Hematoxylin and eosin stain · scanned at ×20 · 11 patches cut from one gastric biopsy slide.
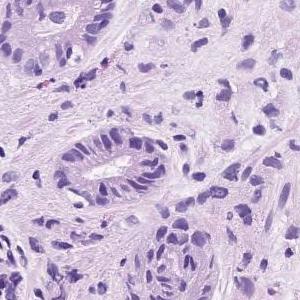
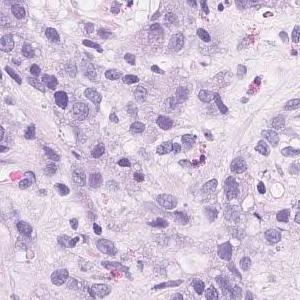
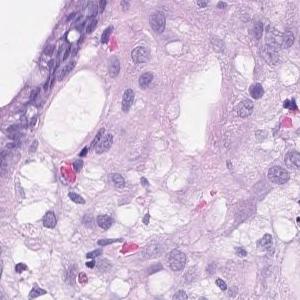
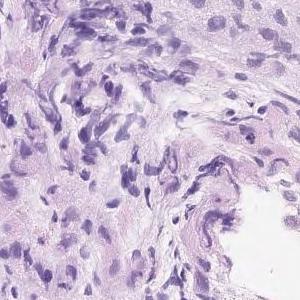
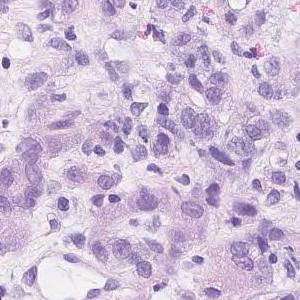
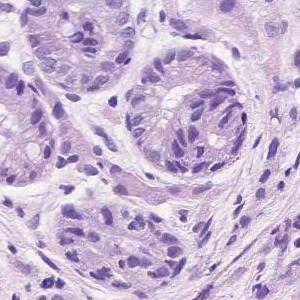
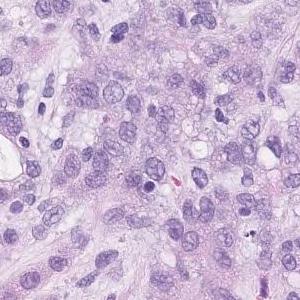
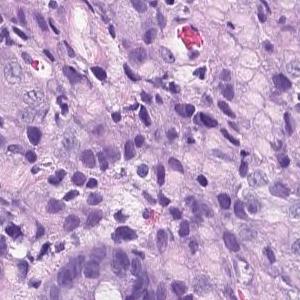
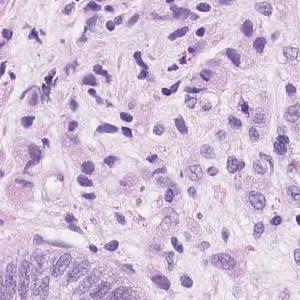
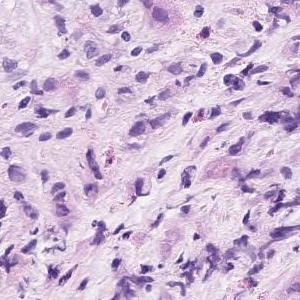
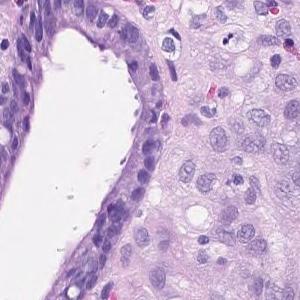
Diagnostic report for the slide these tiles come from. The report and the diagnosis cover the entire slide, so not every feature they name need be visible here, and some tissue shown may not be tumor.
Group 5, Adenocarcinoma. Poorly differentiated adenocarcinoma, non-solid type
"Non-solid type" is a category of the Japanese Classification of Gastric Carcinoma.
